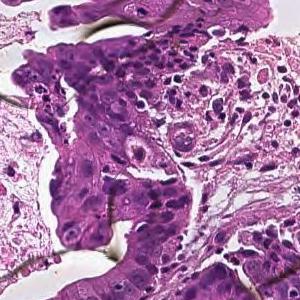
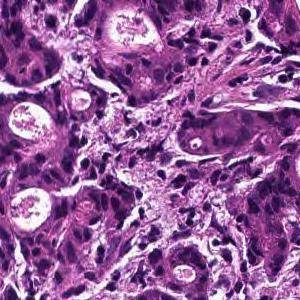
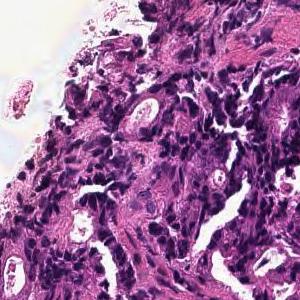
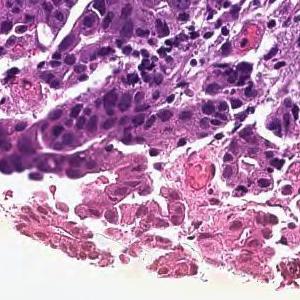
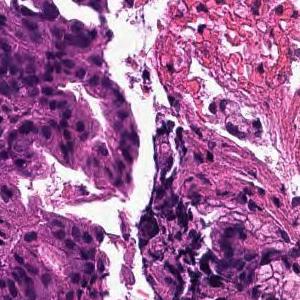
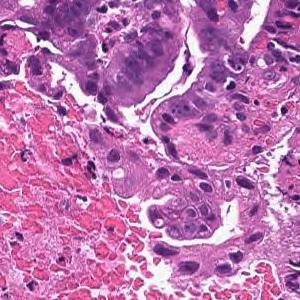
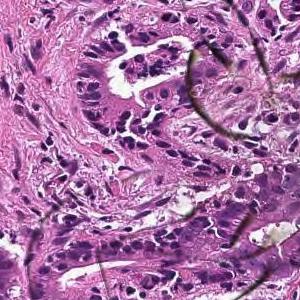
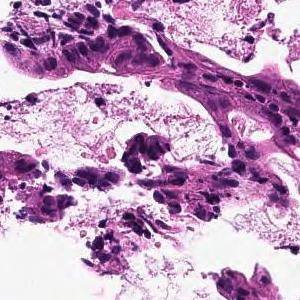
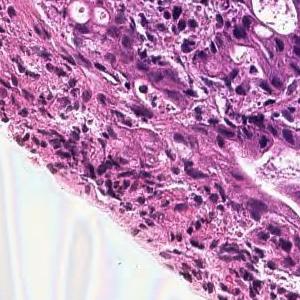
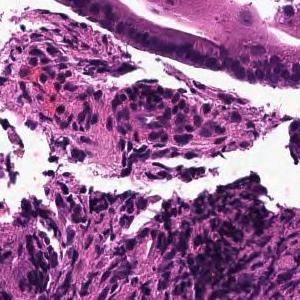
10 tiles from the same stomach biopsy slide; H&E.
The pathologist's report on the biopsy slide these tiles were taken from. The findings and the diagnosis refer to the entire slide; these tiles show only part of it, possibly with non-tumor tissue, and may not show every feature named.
In the superficial epithelium, tumor tissue that invades by forming medium-sized to small, irregular ducts is observed. moderately differentiated tubular adenocarcinoma.
